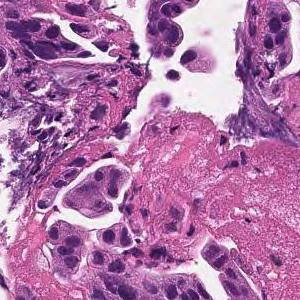
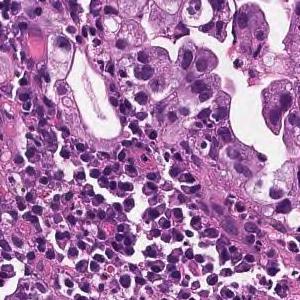
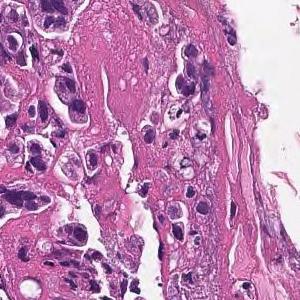
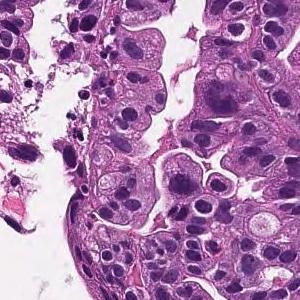
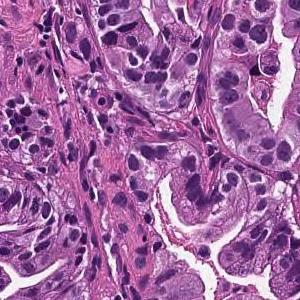
5 tiles cut from one stomach biopsy slide; 300 × 300 pixels each.
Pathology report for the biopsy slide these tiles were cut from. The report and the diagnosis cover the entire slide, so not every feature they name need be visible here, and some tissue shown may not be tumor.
Medium to small, irregular glandular ducts are formed in the superficial epithelium, and in some cases, the glandular ducts are fused to show solid alveolar lesions and infiltrating tumor tissue is observed. Moderately to poorly differentiated adenocarcinoma.
